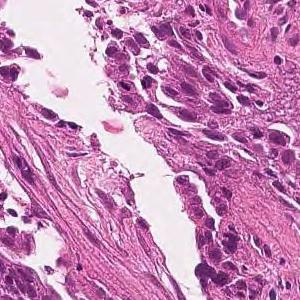
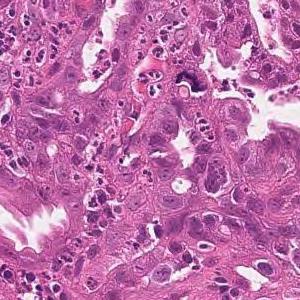
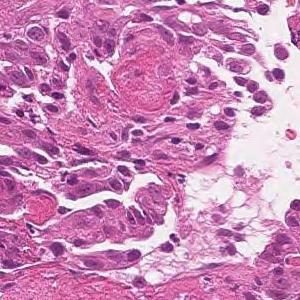
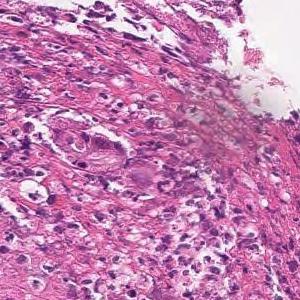
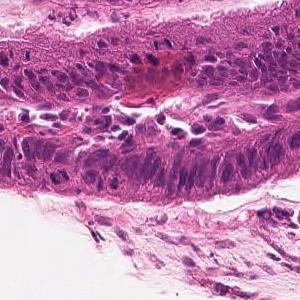
Scanned at ×20 · hematoxylin and eosin stain · 5 tiles from the same stomach biopsy slide.
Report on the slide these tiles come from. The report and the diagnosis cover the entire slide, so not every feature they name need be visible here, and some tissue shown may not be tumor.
Tumor tissue consisting of large papillary structures is found in the superficial epithelium. Papillary adenocarcinoma.
